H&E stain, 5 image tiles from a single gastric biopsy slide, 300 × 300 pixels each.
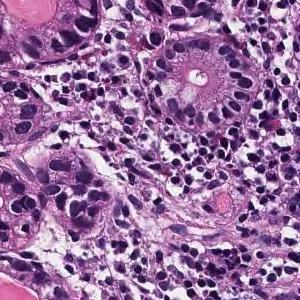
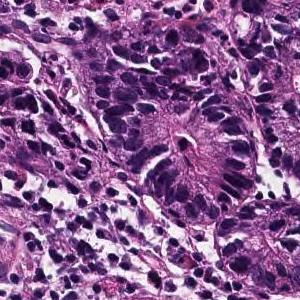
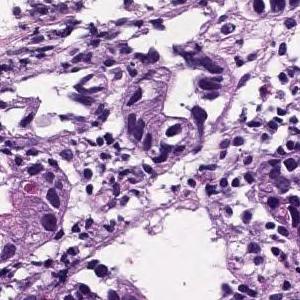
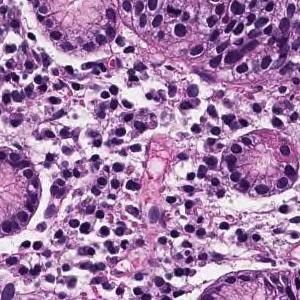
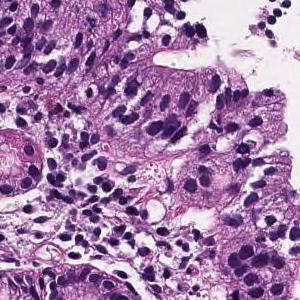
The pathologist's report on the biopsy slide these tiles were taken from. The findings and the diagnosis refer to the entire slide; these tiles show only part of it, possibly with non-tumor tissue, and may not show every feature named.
From the superficial epithelium to the muscularis mucosae, tumor tissue consisting of medium-sized and irregular glandular ducts infiltrating is observed. Well differentiated tubular adenocarcinoma
